Hematoxylin and eosin stain, scanned at ×20, 7 image tiles from a single gastric biopsy slide, each 300 × 300 pixels.
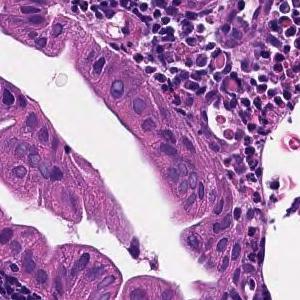
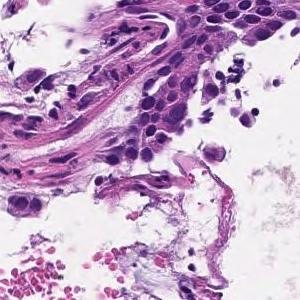
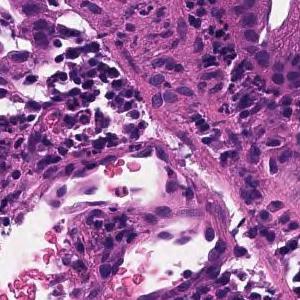
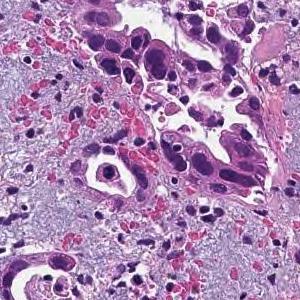
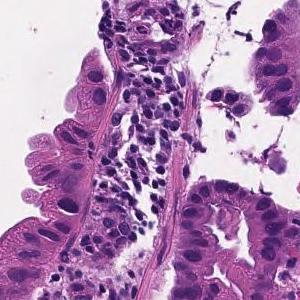
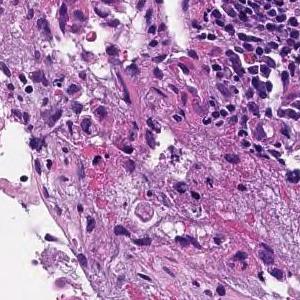
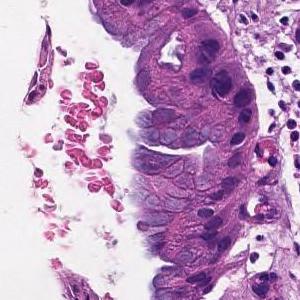
Report on the slide these tiles come from. The report and the diagnosis cover the entire slide, so not every feature they name need be visible here, and some tissue shown may not be tumor.
On the superficial epithelium, tumor tissue that infiltrates by forming medium-sized papillary or small irregular ducts is observed. Papillary adenocarcinoma
